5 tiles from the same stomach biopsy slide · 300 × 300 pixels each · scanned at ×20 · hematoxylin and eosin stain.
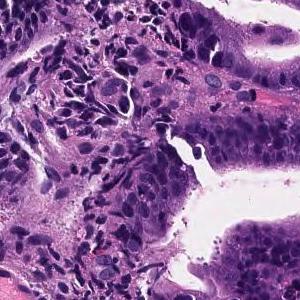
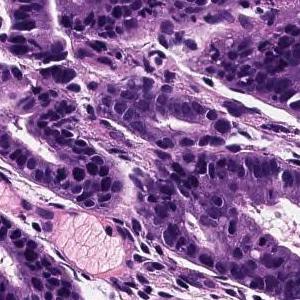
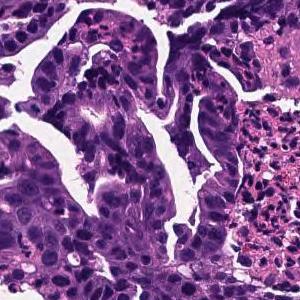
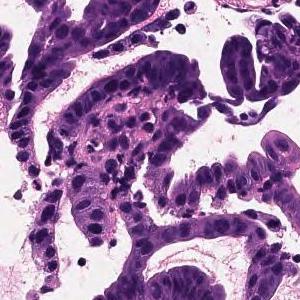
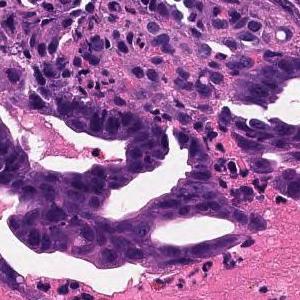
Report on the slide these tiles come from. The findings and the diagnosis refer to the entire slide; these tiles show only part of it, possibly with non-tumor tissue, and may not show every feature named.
Tumor cells are large, highly columnar, large club-shaped nuclei, and are associated with chromatin aggregation. Papillary adenocarcinoma.
